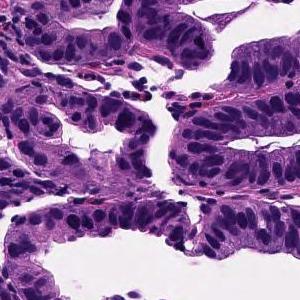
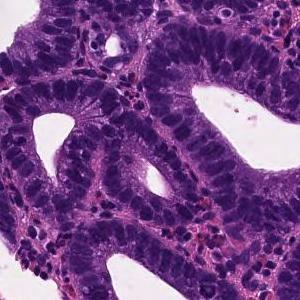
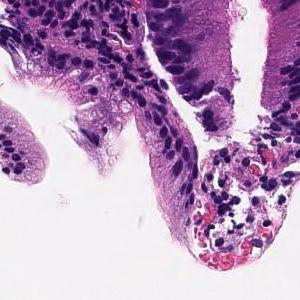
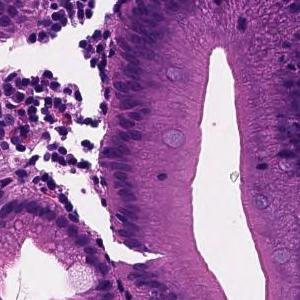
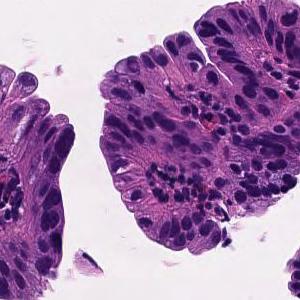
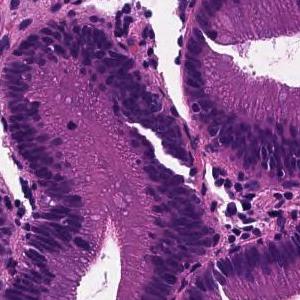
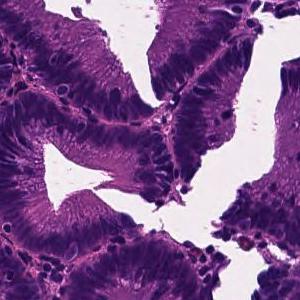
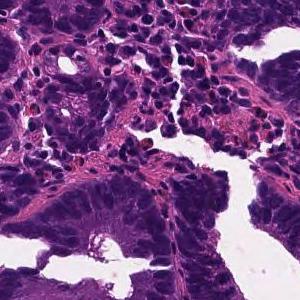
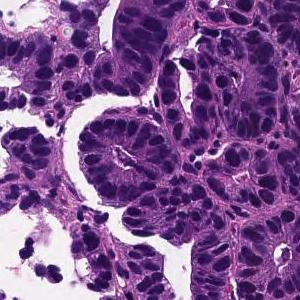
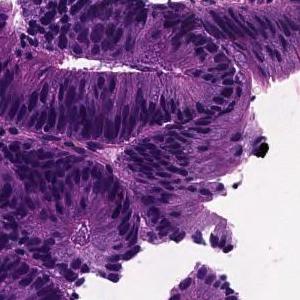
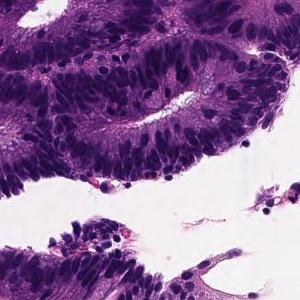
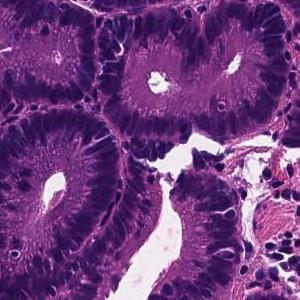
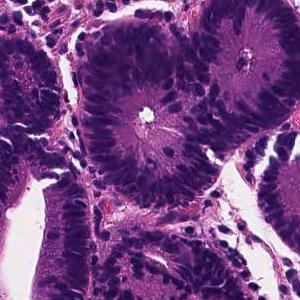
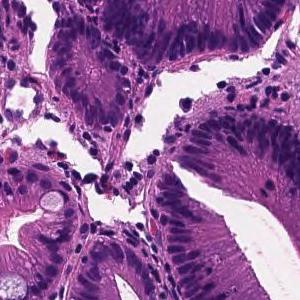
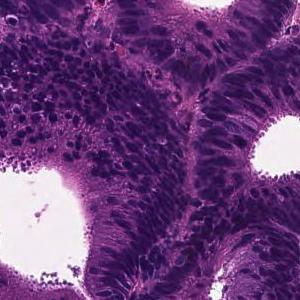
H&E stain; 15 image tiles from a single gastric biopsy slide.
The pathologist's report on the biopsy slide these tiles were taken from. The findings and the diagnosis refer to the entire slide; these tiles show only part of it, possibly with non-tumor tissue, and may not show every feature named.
Tumor tissue in which medium to small irregular ducts infiltrate and proliferate in the submucosa can be seen in the epithelium. Well differentiated tubular adenocarcinoma
